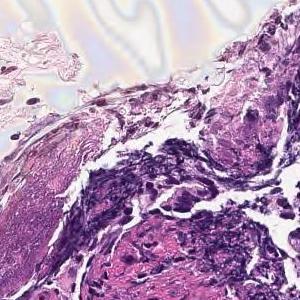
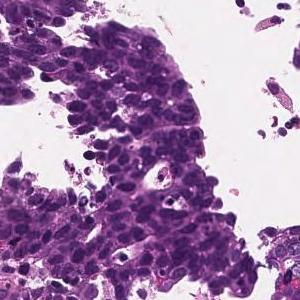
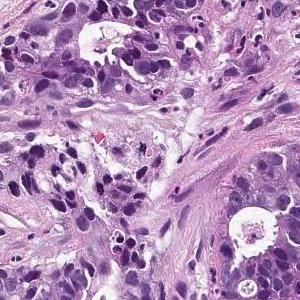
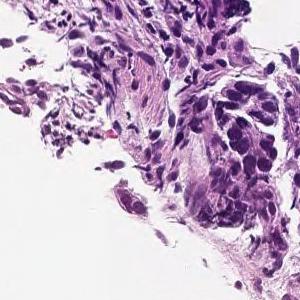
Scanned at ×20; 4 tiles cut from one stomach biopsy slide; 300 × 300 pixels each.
Pathology report for the slide these tiles were cut from. The report and the diagnosis describe the slide as a whole, so these tiles may not show every feature named and may include non-tumor tissue.
In the superficial epithelium, tumor tissue that invades by forming medium-sized to small, irregular ducts is observed. moderately differentiated tubular adenocarcinoma.
